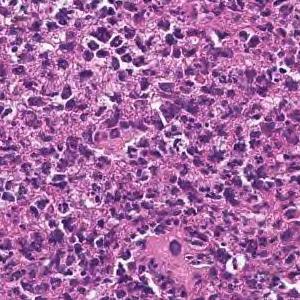
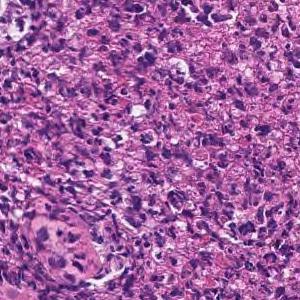
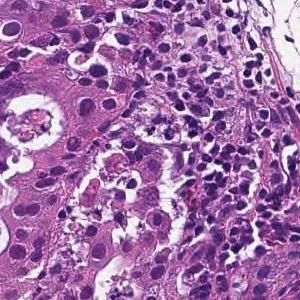
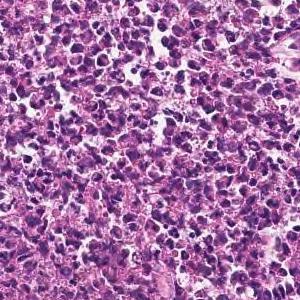
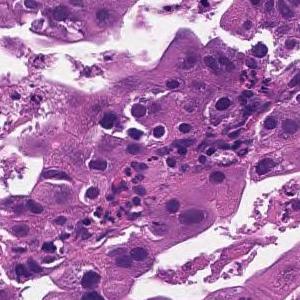
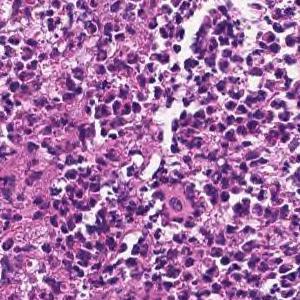
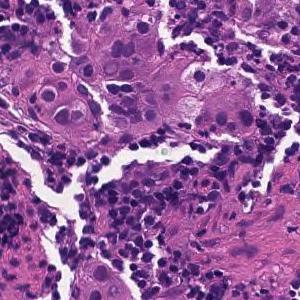
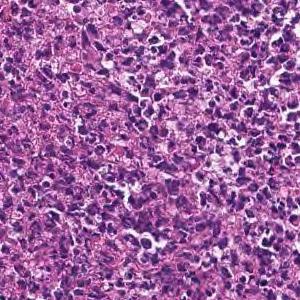
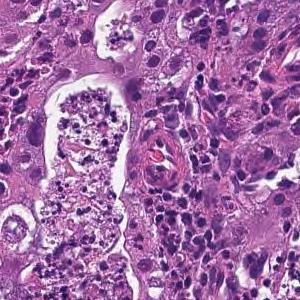
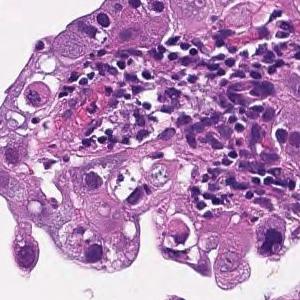
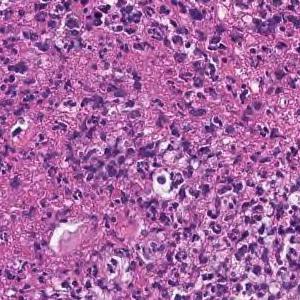
11 image tiles from a single gastric biopsy slide; 300×300 px each; scanned at ×20; hematoxylin and eosin stain.
Pathology report for the biopsy slide these tiles were cut from. Both the report and the diagnosis are for the whole slide: these tiles need not show every feature named, and some of the tissue shown may not be tumor.
In the superficial epithelium, tumor tissue infiltrated by partial fusion of medium-sized to small, irregular glandular ducts is observed. moderately differentiated tubular adenocarcinoma
